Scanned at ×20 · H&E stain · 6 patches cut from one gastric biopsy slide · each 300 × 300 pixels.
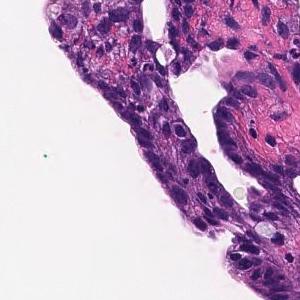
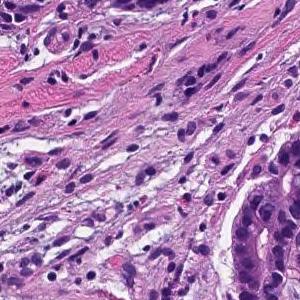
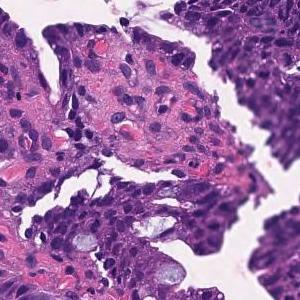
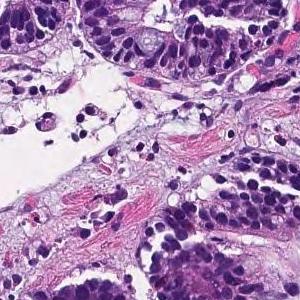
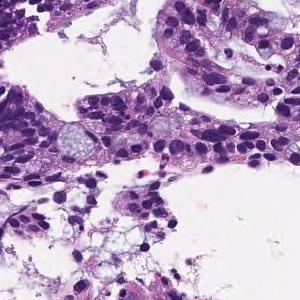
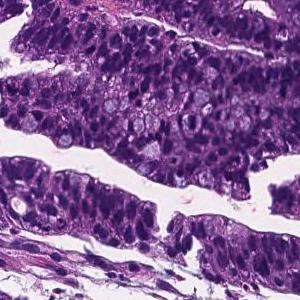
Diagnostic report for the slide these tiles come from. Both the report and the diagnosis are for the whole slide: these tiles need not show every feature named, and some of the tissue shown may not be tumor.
Tumor cells are large, highly columnar, large club-shaped nuclei, and are associated with chromatin aggregation. Papillary adenocarcinoma.
